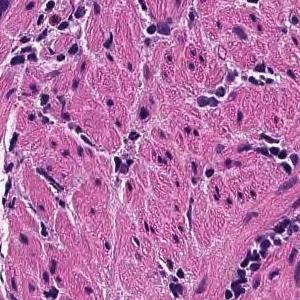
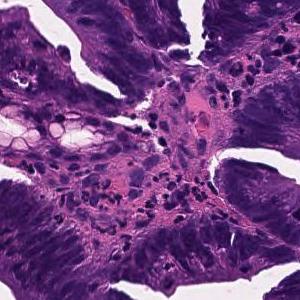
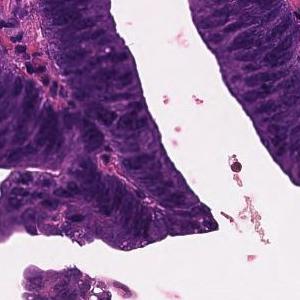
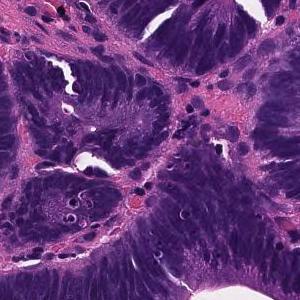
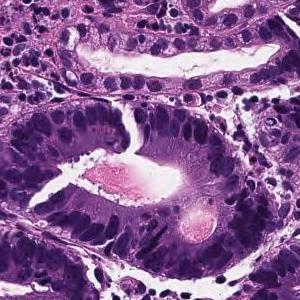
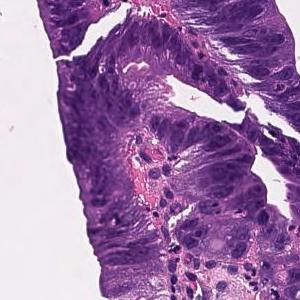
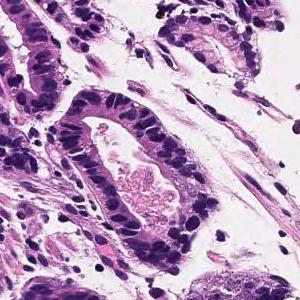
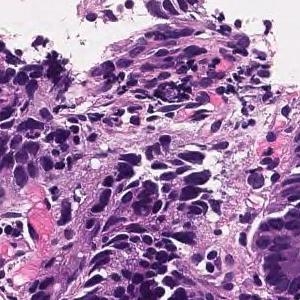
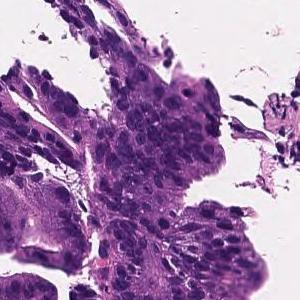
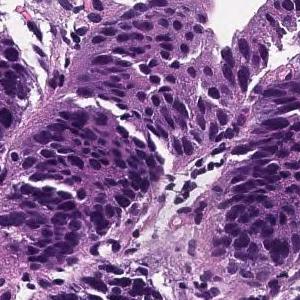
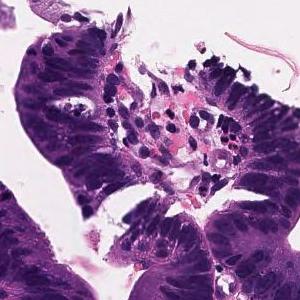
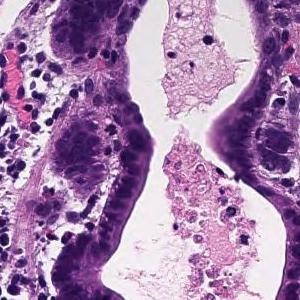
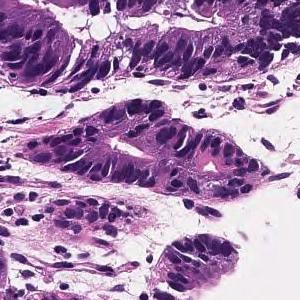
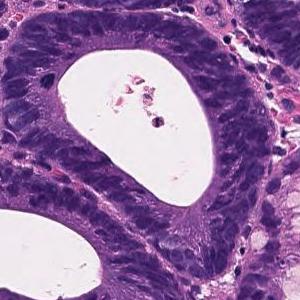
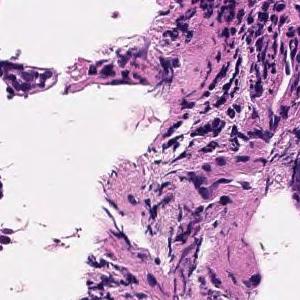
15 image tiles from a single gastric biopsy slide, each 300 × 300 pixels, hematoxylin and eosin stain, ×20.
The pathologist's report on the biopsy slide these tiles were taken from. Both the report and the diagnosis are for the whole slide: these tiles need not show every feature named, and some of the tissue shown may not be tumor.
Tumor tissue consisting of large papillary structures is found in the superficial epithelium. Papillary adenocarcinoma.
